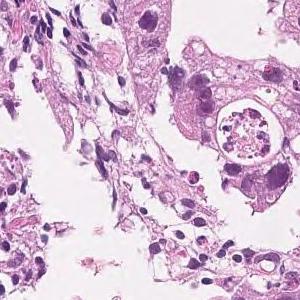
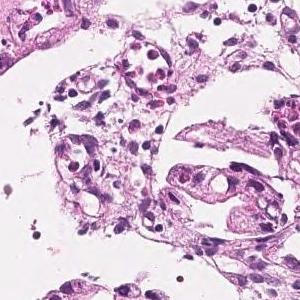
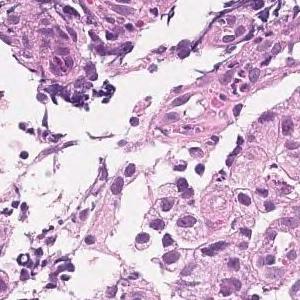
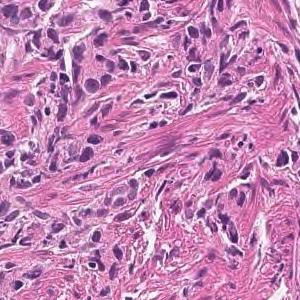
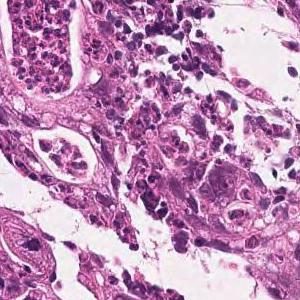
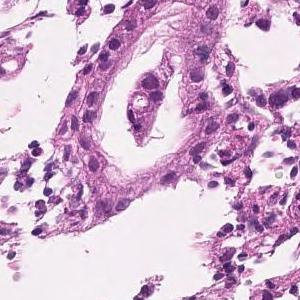
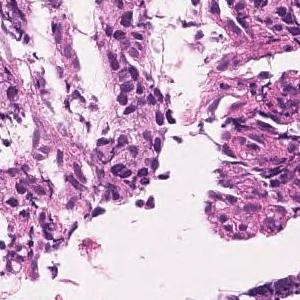
Hematoxylin and eosin stain, 20× magnification, 7 image tiles from a single gastric biopsy slide.
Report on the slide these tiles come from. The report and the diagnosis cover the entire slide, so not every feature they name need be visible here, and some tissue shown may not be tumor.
In the superficial epithelium, medium to small, irregular glandular ducts are formed, and in some parts, the glandular ducts are fused, and in other parts, small cord-like infiltrating tumor tissue is observed. Moderately to poorly differentiated adenocarcinoma.
